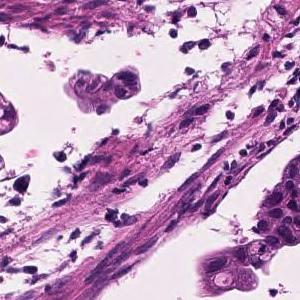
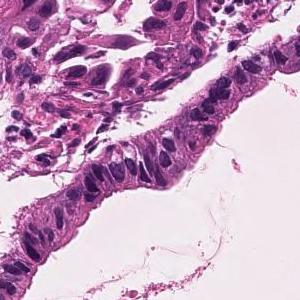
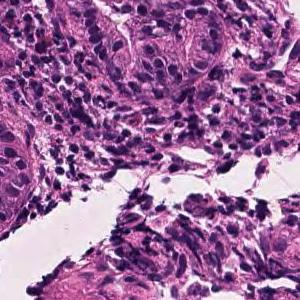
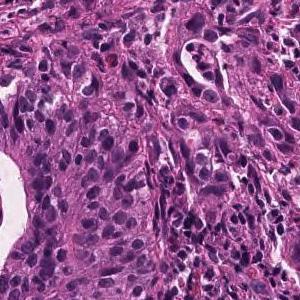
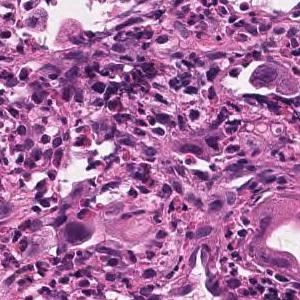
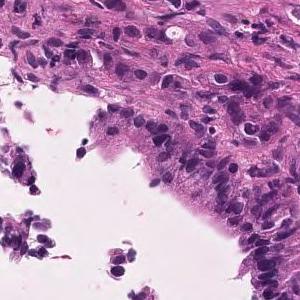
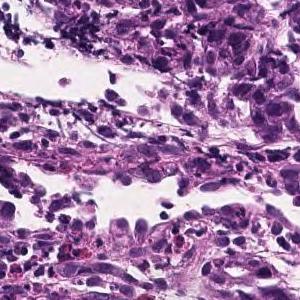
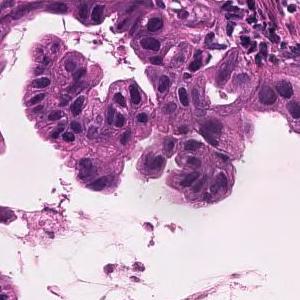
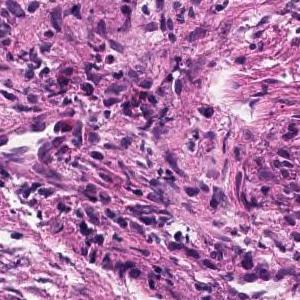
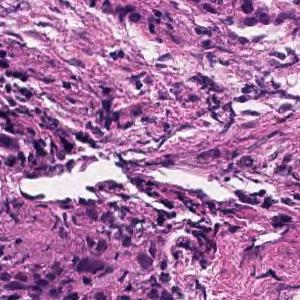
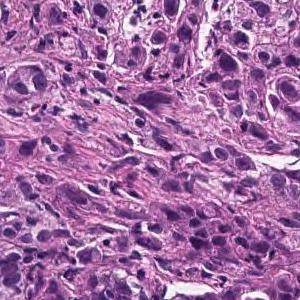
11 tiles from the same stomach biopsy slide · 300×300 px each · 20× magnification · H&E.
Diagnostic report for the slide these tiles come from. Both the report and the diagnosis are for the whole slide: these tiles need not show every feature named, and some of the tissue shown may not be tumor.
Tumor tissue consisting of medium-sized, cord-like or irregular glandular infiltration is observed in the superficial epithelium. Poorly differentiated adenocarcinoma, non-solid type or moderately differentiated tubular adenocarcinoma
The term "non-solid type" comes from the Japanese Classification of Gastric Carcinoma.
